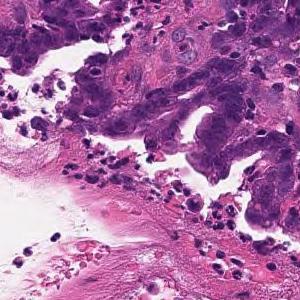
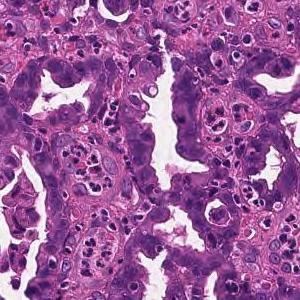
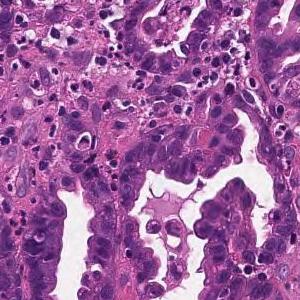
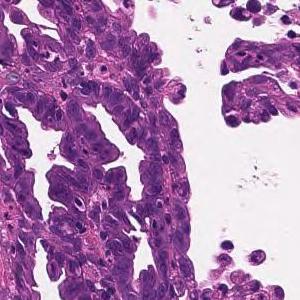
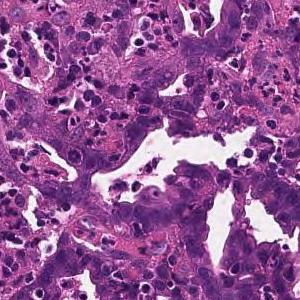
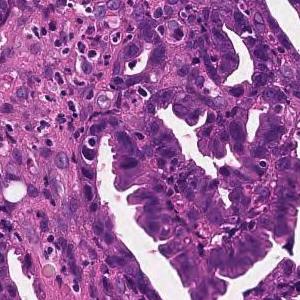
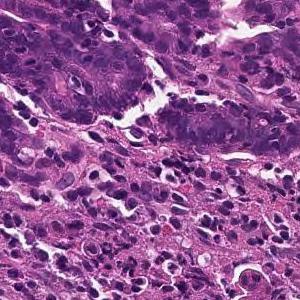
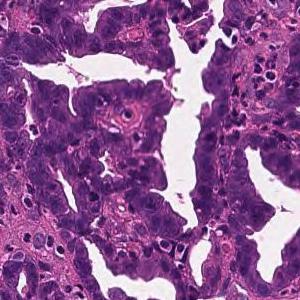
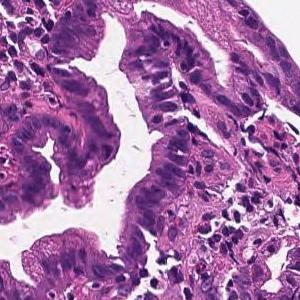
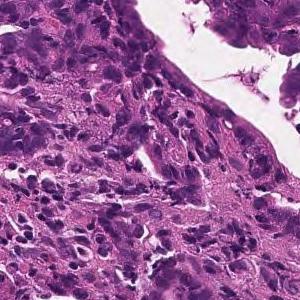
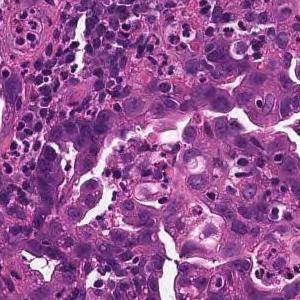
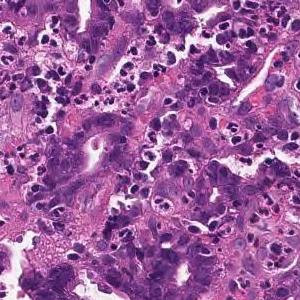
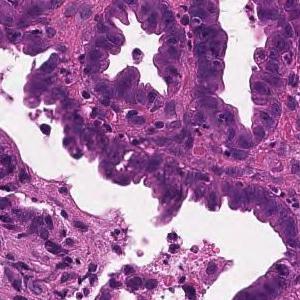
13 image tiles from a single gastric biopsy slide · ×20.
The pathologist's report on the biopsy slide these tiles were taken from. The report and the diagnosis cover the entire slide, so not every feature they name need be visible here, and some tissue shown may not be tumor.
From the superficial epithelium to the muscularis mucosae, tumor tissue consisting of medium-sized and irregular glandular ducts infiltrating is observed. Well differentiated tubular adenocarcinoma
